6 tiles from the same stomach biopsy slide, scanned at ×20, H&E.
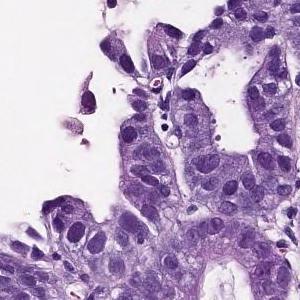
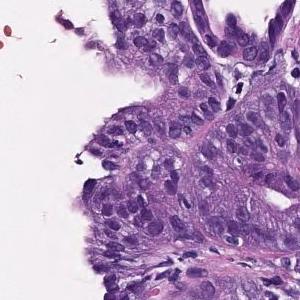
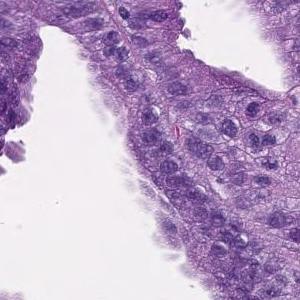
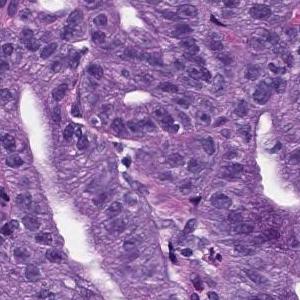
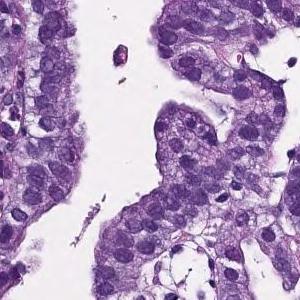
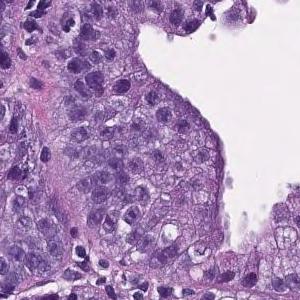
Diagnostic report for the slide these tiles come from. What the report and the diagnosis say applies to the whole slide; these tiles may miss some of the features named and may include tissue that is not tumor.
On the superficial epithelium, tumor tissue that infiltrates by forming medium-sized papillary or small irregular ducts is observed. Papillary adenocarcinoma
